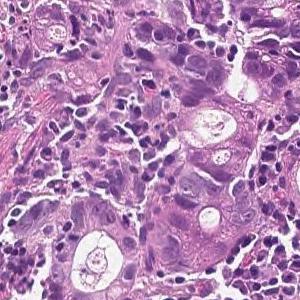
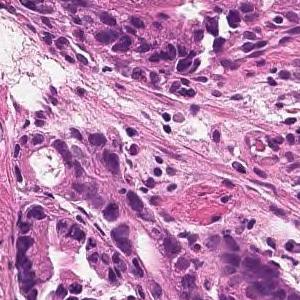
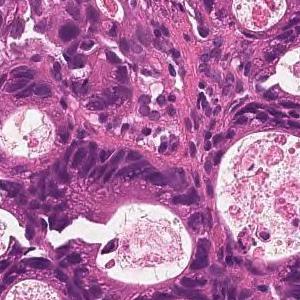
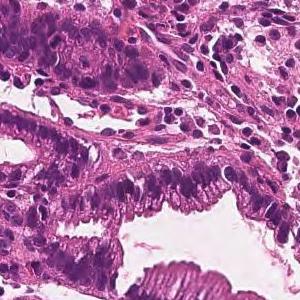
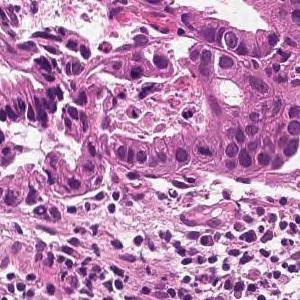
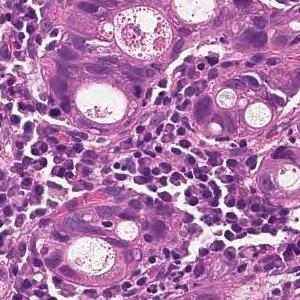
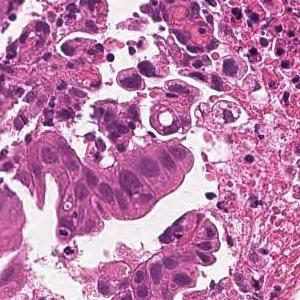
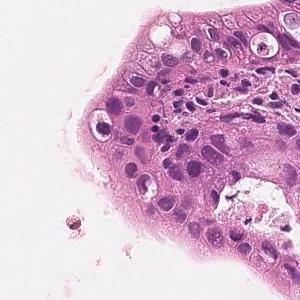
8 image tiles from a single gastric biopsy slide · each 300 × 300 pixels · H&E stain · ×20.
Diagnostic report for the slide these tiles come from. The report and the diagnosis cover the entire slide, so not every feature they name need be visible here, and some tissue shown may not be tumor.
On the superficial epithelium, tumor tissue is found in which medium-sized irregular gland ducts fuse with each other and infiltrate. moderately differentiated tubular adenocarcinoma
